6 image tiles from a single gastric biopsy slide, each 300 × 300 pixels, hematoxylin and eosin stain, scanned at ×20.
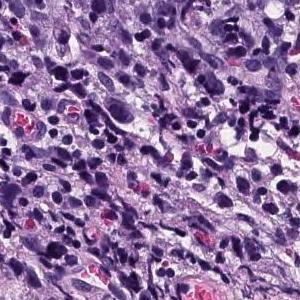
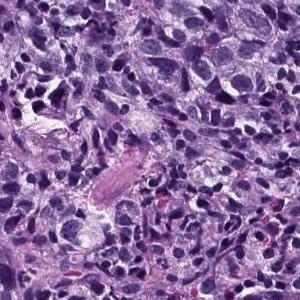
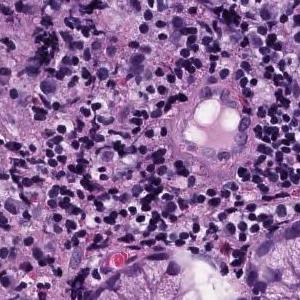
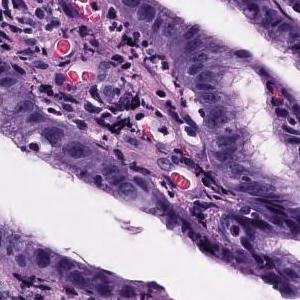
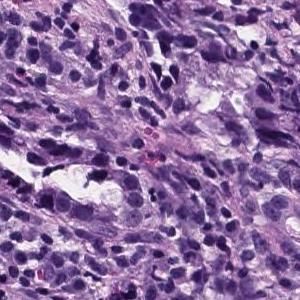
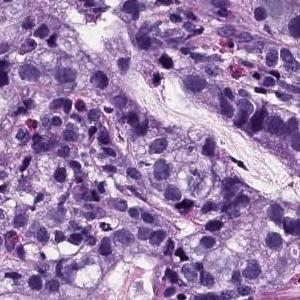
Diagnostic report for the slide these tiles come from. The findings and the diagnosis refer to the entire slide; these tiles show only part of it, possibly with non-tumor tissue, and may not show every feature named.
Atypical epithelial cells infiltrating and proliferating while forming solid or cord-like fused glandular cavities of different sizes is observed. moderately differentiated tubular adenocarcinoma, poorly differentiated adenocarcinoma.
Histologic type: Moderately to poorly differentiated adenocarcinoma.
